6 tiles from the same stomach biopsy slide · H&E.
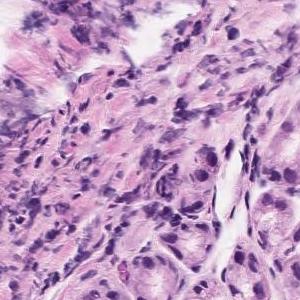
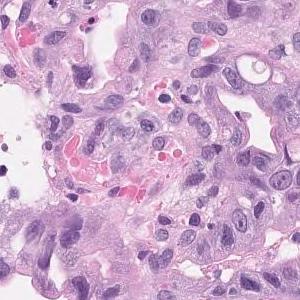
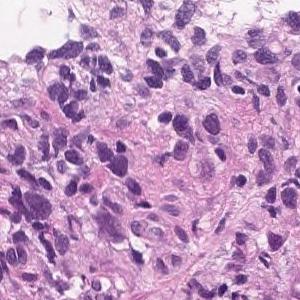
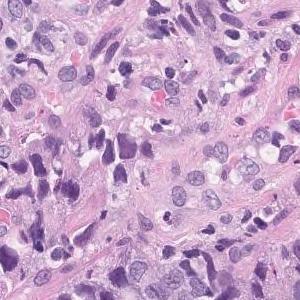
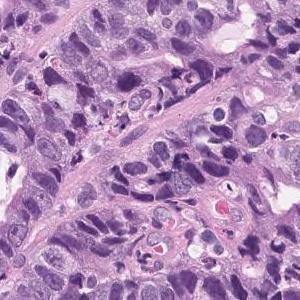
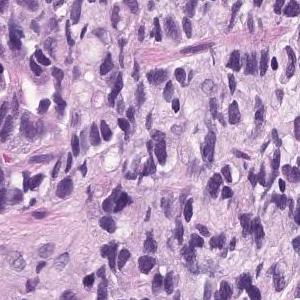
Pathology report for the slide these tiles were cut from. The report and the diagnosis cover the entire slide, so not every feature they name need be visible here, and some tissue shown may not be tumor.
Tumor tissue consisting of medium-sized, cord-like or irregular glandular infiltration is observed in the superficial epithelium. Poorly differentiated adenocarcinoma, non-solid type or moderately differentiated tubular adenocarcinoma
Labeled in the dataset as poorly differentiated adenocarcinoma, non-solid type.
The term "non-solid type" comes from the Japanese Classification of Gastric Carcinoma.
